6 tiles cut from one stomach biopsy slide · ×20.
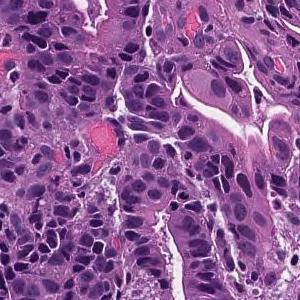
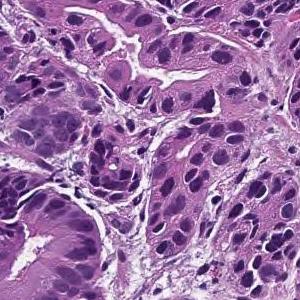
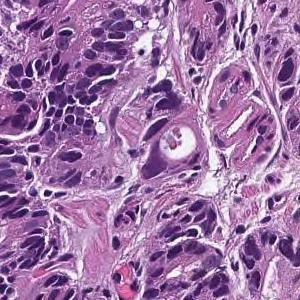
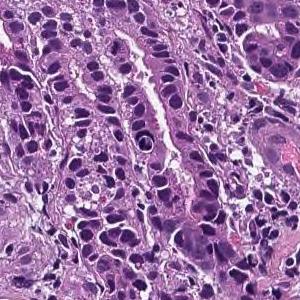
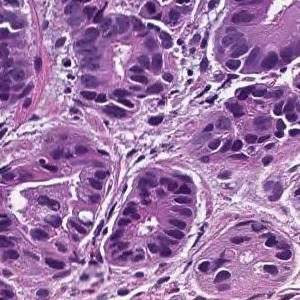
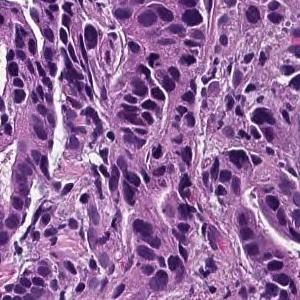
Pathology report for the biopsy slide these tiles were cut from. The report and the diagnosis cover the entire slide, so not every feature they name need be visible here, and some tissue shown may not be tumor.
In the superficial epithelium, tumor tissue that invades by forming medium-sized to small, irregular ducts is observed. moderately differentiated tubular adenocarcinoma.
